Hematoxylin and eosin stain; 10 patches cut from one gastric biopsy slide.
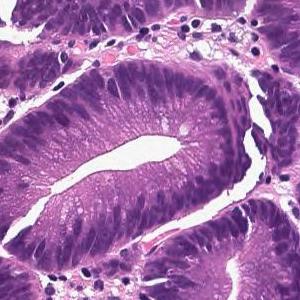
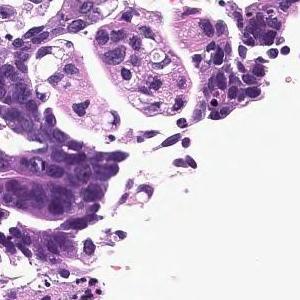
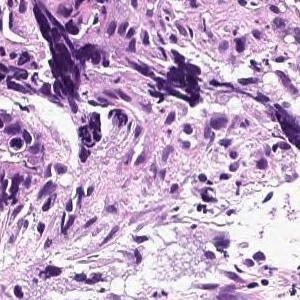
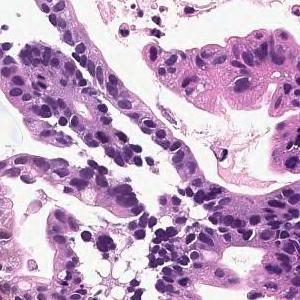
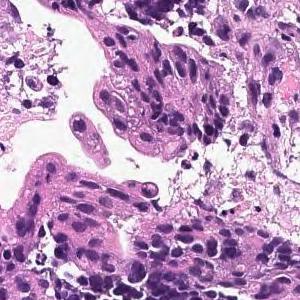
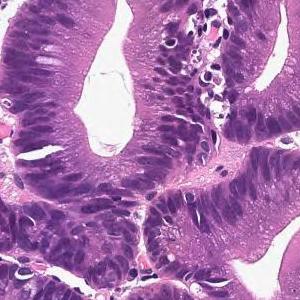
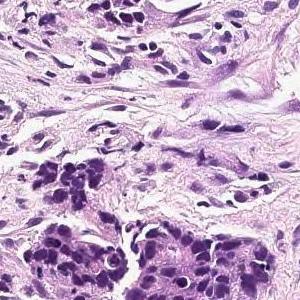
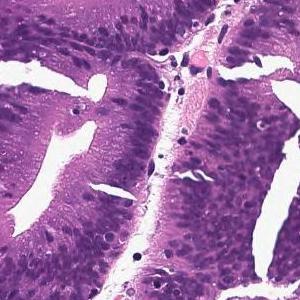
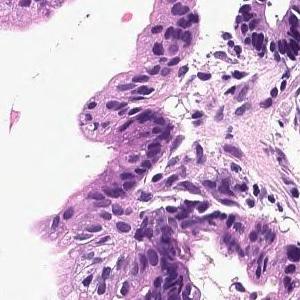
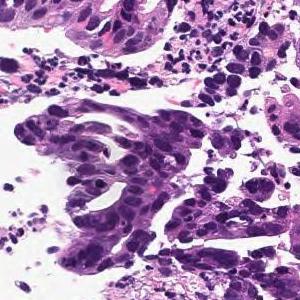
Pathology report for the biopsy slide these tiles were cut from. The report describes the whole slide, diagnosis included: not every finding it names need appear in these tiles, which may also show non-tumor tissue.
In the superficial epithelium, tumor tissue that invades by forming medium-sized to small, irregular ducts is observed. moderately differentiated tubular adenocarcinoma.
